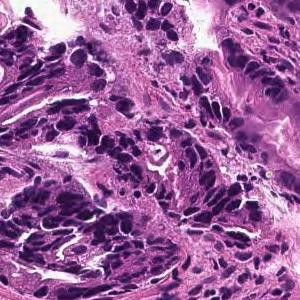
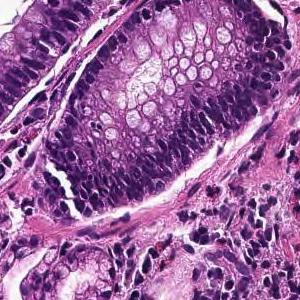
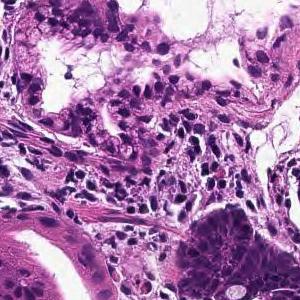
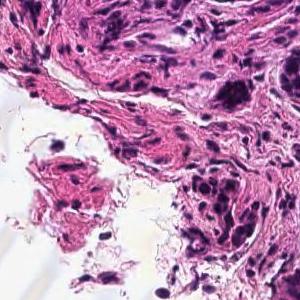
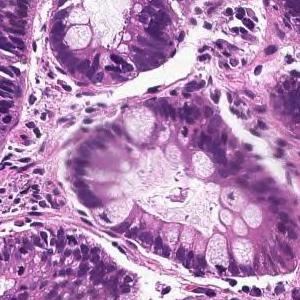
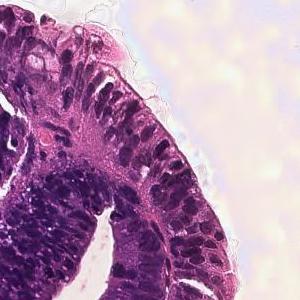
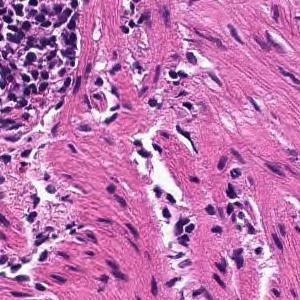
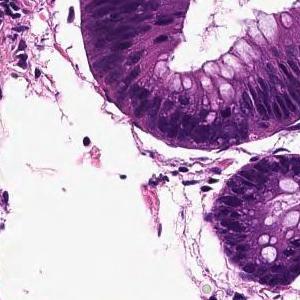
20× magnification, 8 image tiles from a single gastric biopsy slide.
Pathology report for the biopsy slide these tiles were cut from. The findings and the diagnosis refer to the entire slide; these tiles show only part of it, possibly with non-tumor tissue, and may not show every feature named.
From the superficial epithelium to the muscularis mucosae, tumor tissue consisting of medium-sized and irregular glandular ducts infiltrating is observed. Well differentiated tubular adenocarcinoma
